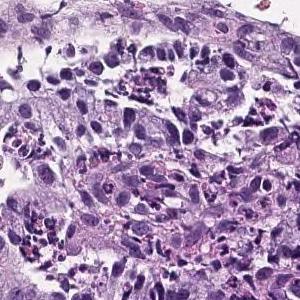
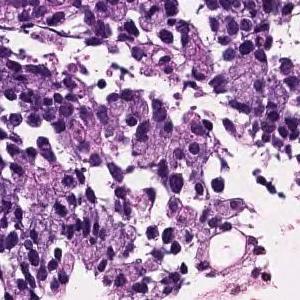
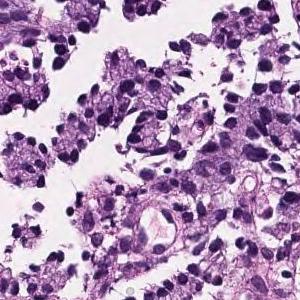
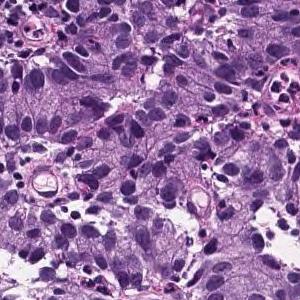
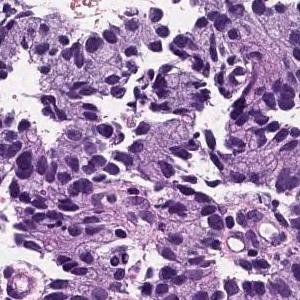
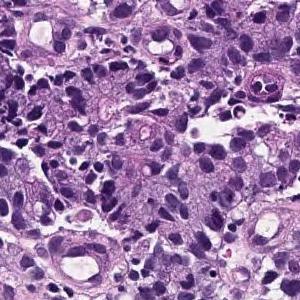
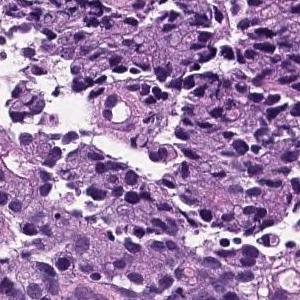
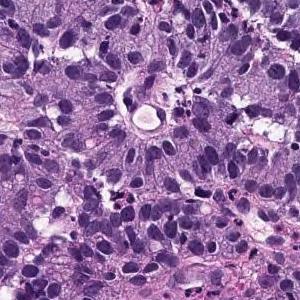
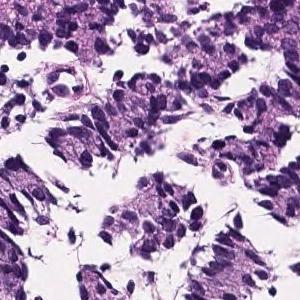
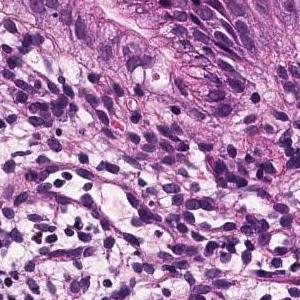
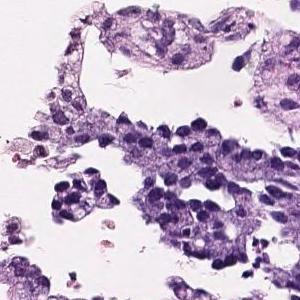
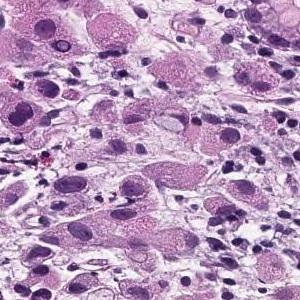
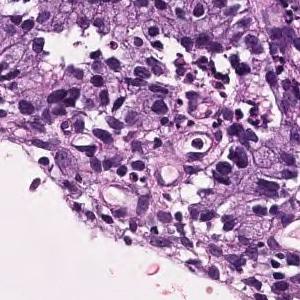
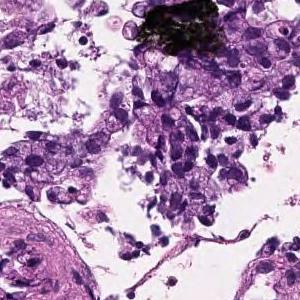
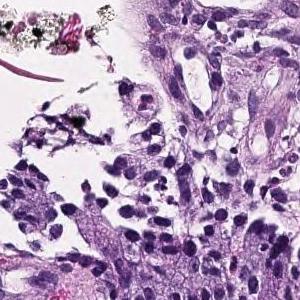
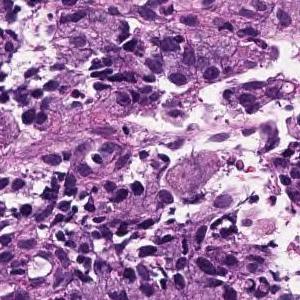
Hematoxylin and eosin stain, 20× magnification, 16 patches cut from one gastric biopsy slide.
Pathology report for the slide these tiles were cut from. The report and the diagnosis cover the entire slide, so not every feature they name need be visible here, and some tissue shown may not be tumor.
Tumor tissue infiltrated by irregular fusion of small cord-like structures is found in the superficial epithelium. Poorly differentiated adenocarcinoma, non-solid type
The non-solid type named here is a Japanese Classification of Gastric Carcinoma category.
